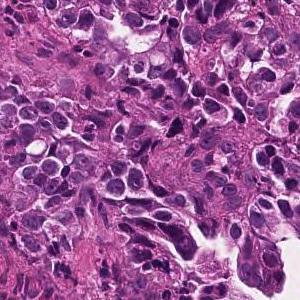
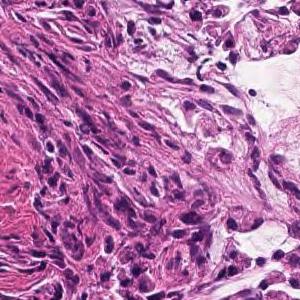
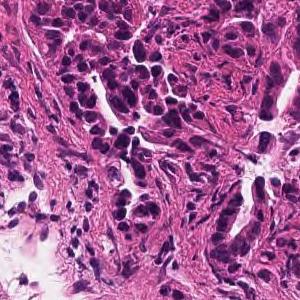
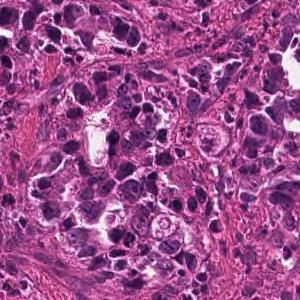
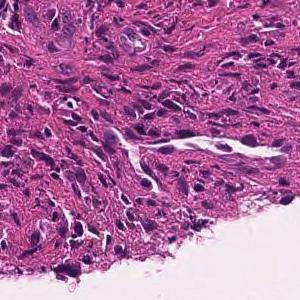
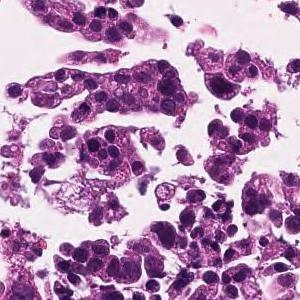
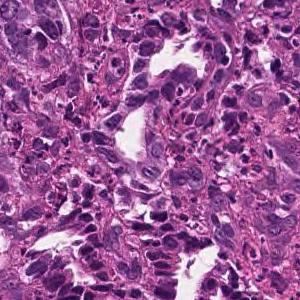
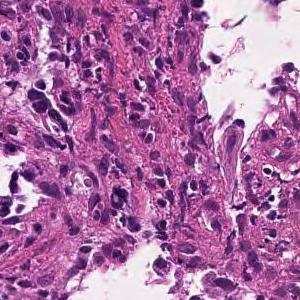
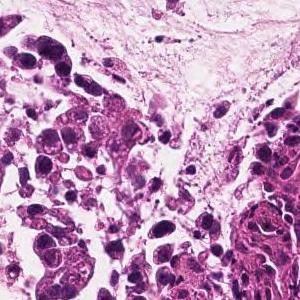
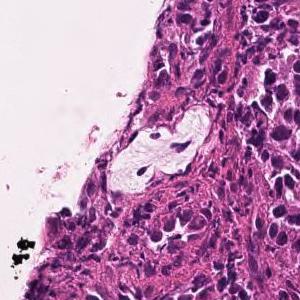
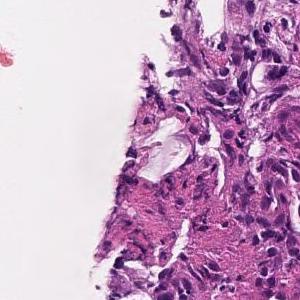
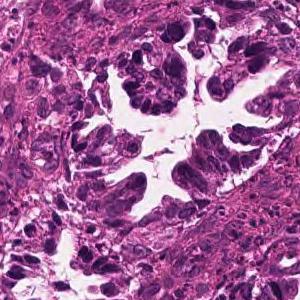
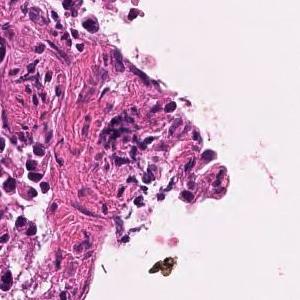
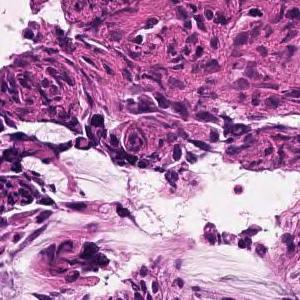
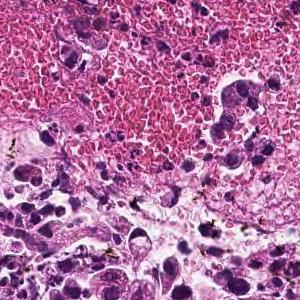
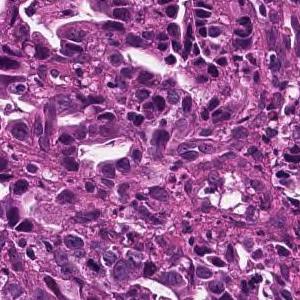
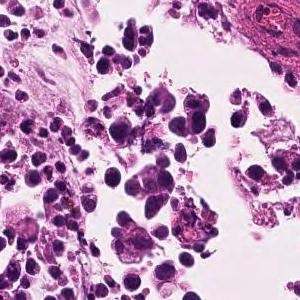
17 tiles cut from one stomach biopsy slide.
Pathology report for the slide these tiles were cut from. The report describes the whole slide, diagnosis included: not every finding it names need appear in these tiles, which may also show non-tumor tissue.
In the superficial epithelium, tumor tissue that invades by forming medium-sized to small, irregular ducts is observed. moderately differentiated tubular adenocarcinoma.
